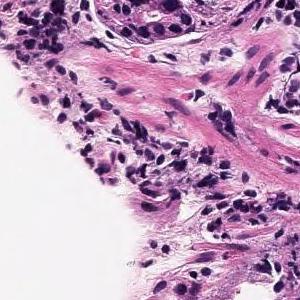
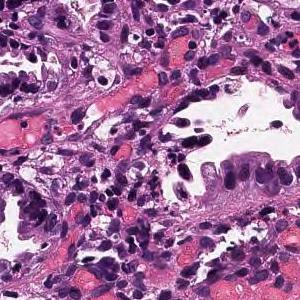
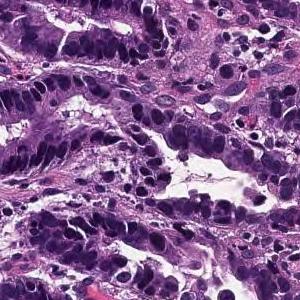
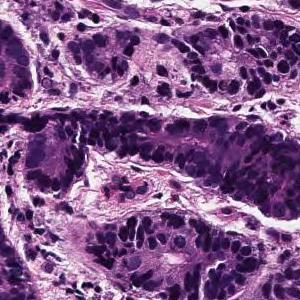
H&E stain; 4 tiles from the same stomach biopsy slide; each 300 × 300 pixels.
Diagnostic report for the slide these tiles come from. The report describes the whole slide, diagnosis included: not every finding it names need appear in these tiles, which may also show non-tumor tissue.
From the superficial epithelium to the muscularis mucosae, tumor tissue consisting of medium-sized and irregular glandular ducts infiltrating is observed. Well differentiated tubular adenocarcinoma
